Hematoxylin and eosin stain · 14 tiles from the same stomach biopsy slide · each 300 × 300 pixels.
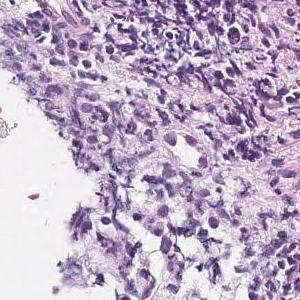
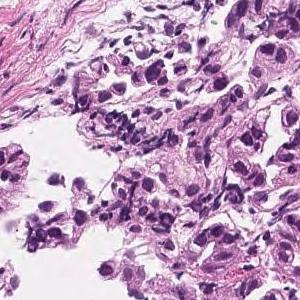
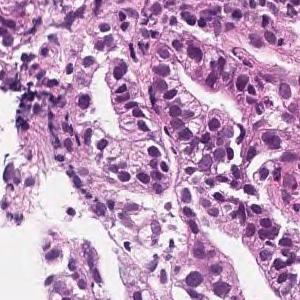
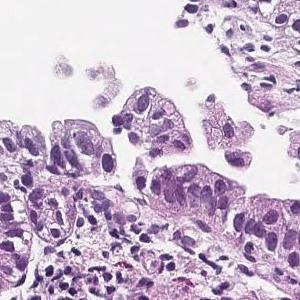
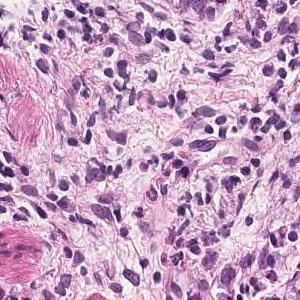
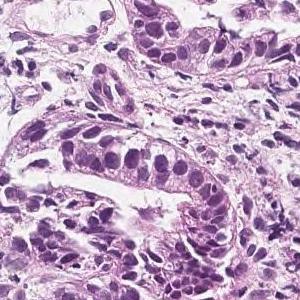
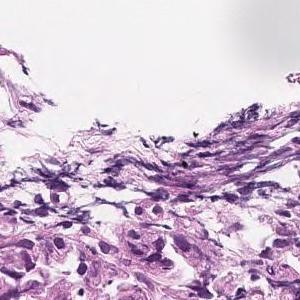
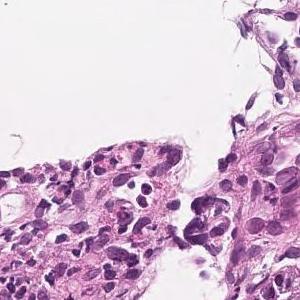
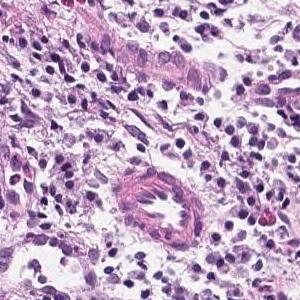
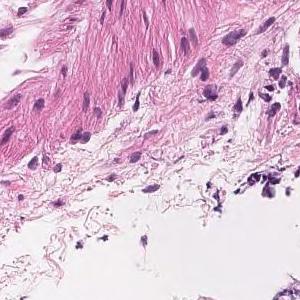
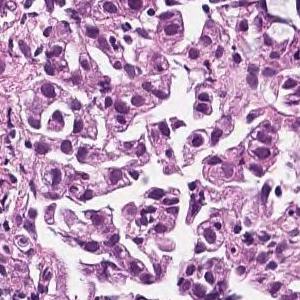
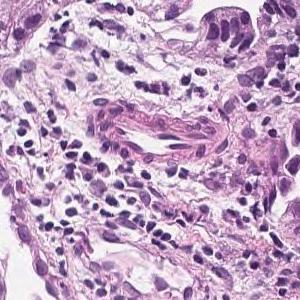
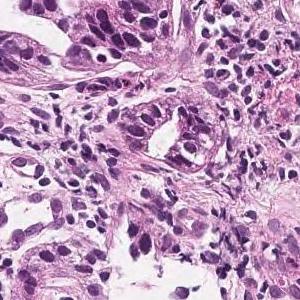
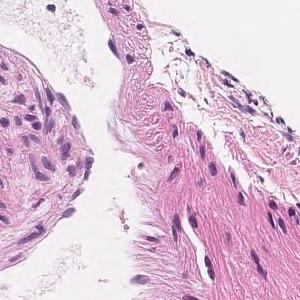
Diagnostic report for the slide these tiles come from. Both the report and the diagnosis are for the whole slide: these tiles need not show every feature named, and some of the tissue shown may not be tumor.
In the superficial epithelium, tumor tissue that invades by forming medium-sized to small, irregular ducts is observed. moderately differentiated tubular adenocarcinoma.
